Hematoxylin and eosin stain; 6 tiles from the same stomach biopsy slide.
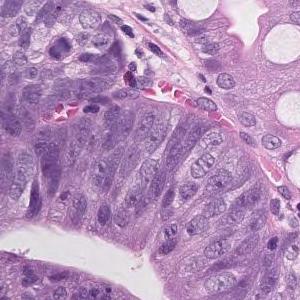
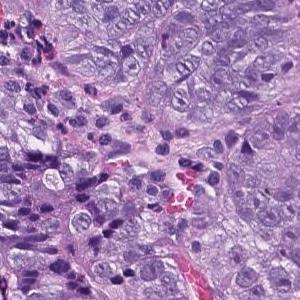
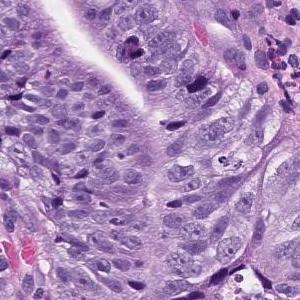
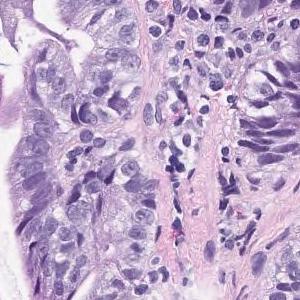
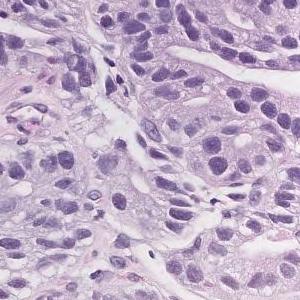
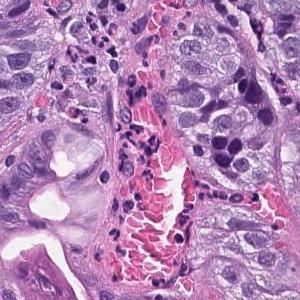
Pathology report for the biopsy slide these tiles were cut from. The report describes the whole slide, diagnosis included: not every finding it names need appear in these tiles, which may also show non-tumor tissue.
On the superficial epithelium, tumor tissue consisting of medium to small irregular tubules partially fused and proliferated is observed. moderately differentiated tubular adenocarcinoma
